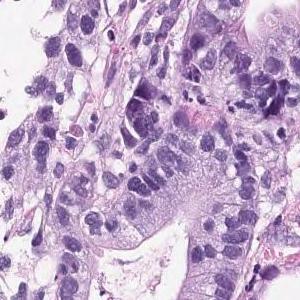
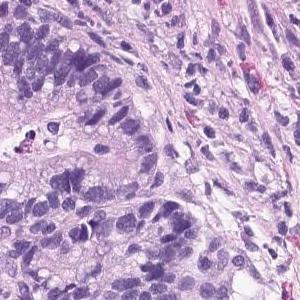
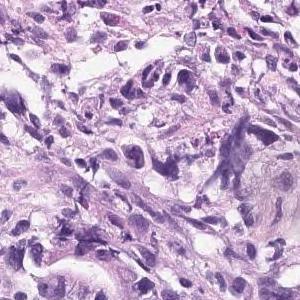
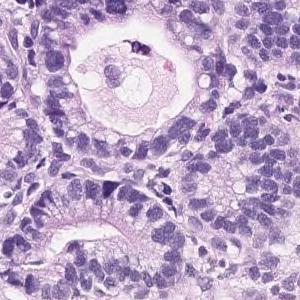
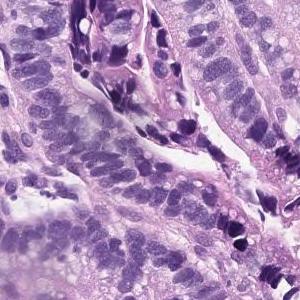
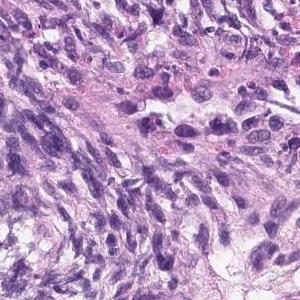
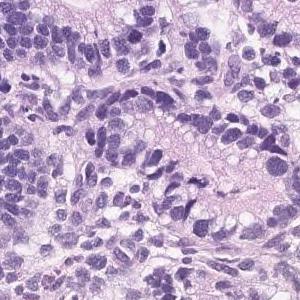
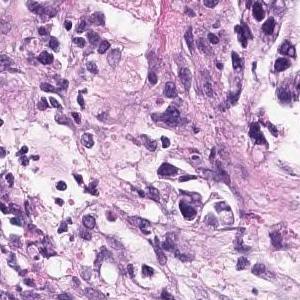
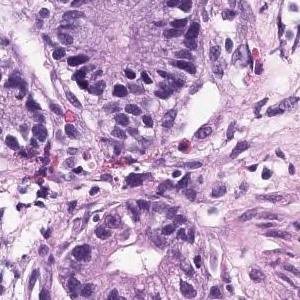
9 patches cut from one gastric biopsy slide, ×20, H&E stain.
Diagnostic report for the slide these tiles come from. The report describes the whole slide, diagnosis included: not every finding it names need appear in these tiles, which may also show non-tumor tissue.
Hyperplasia of atypical epithelial cells with swelling of the nucleus is observed. Moderately diffentiated tubular adenocarcinoma
Histological subtype: Moderately differentiated tubular adenocarcinoma.
